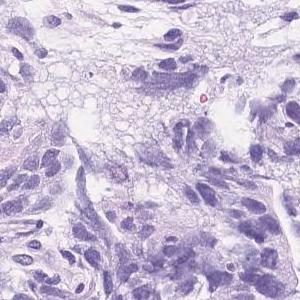
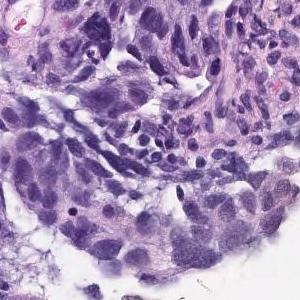
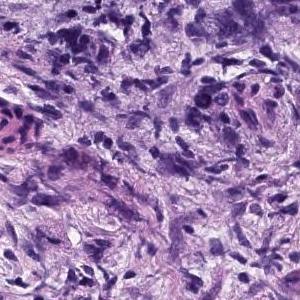
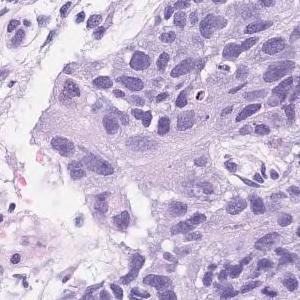
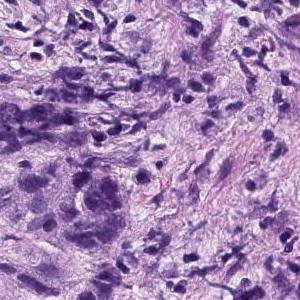
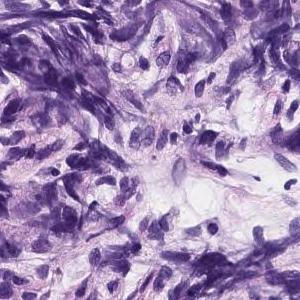
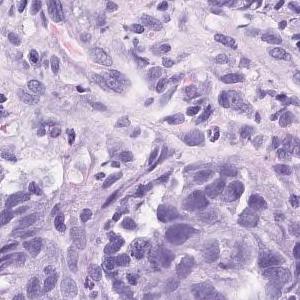
20× magnification, hematoxylin and eosin stain, 7 patches cut from one gastric biopsy slide, 300×300 px each.
The pathologist's report on the biopsy slide these tiles were taken from. The report and the diagnosis cover the entire slide, so not every feature they name need be visible here, and some tissue shown may not be tumor.
Atypical epithelial cells with an increased N/C ratio proliferate and consist of a part that shows the formation of gland ducts and a part that shows solid growth. Poorly differentiated adenocarcinoma, solid-type
Histological subtype: Poorly differentiated adenocarcinoma, solid type, a category of the Japanese Classification of Gastric Carcinoma; in the WHO 2019 classification it is tubular adenocarcinoma, poorly differentiated.
